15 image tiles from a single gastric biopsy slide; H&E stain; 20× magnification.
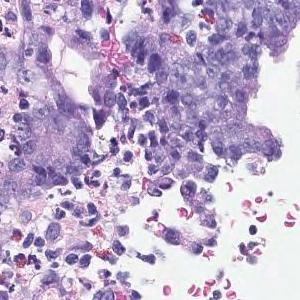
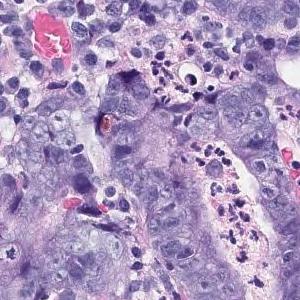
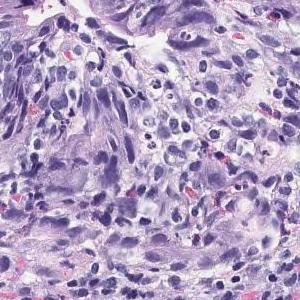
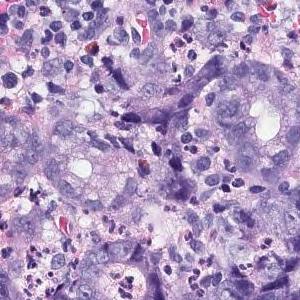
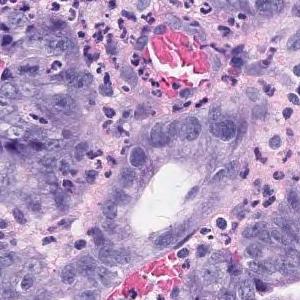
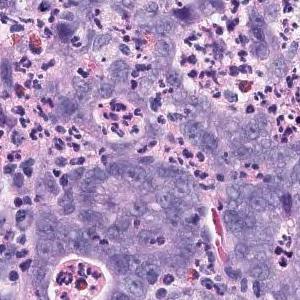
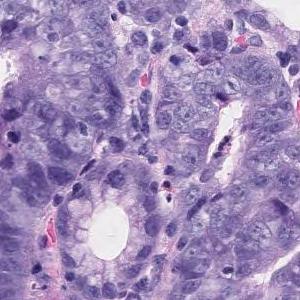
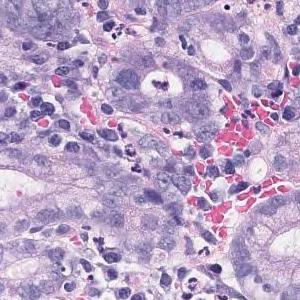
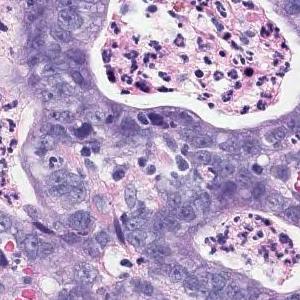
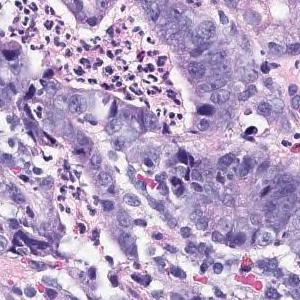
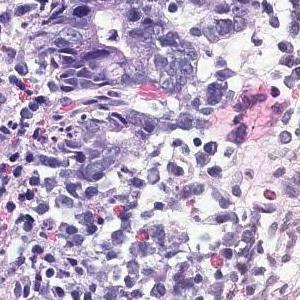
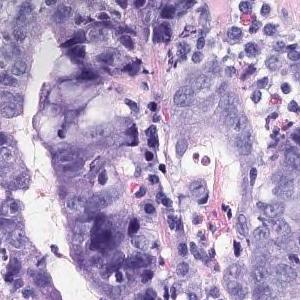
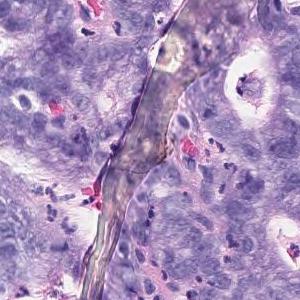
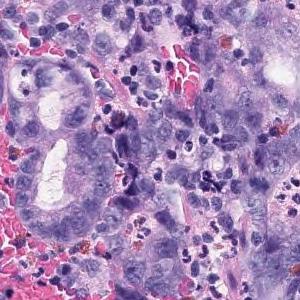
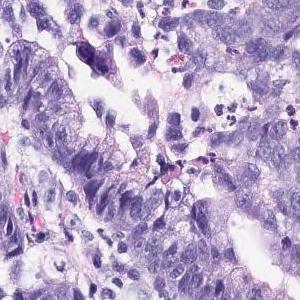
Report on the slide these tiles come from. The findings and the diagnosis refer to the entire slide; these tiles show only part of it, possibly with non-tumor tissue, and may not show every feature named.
In the superficial epithelium, tumor tissue that invades by forming medium-sized to small, irregular ducts is observed. Moderately differentiated adenocarcinoma.
Classified as moderately differentiated tubular adenocarcinoma.
